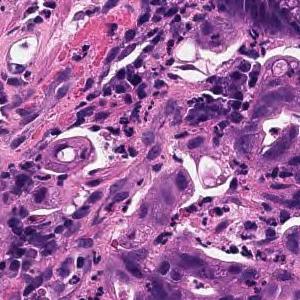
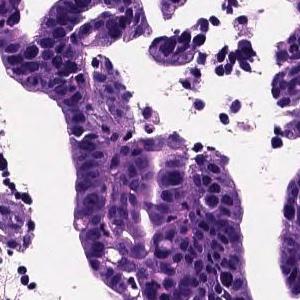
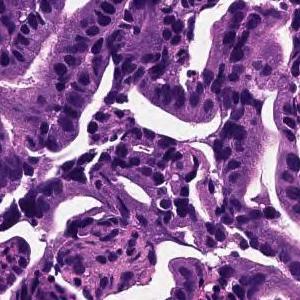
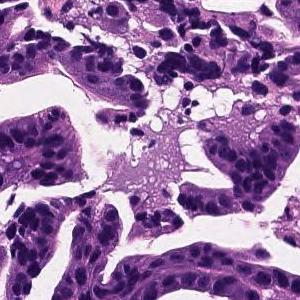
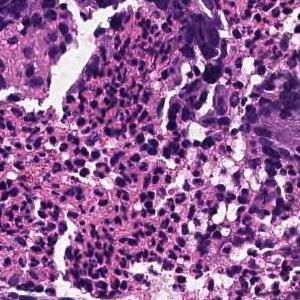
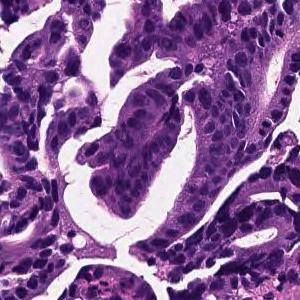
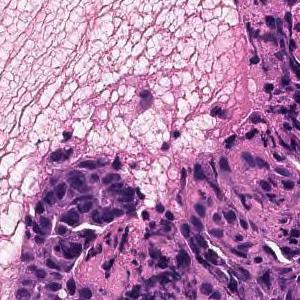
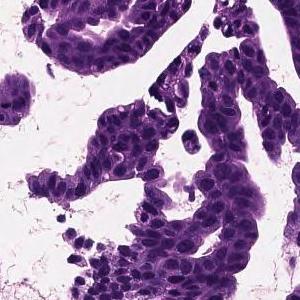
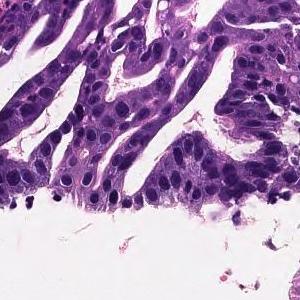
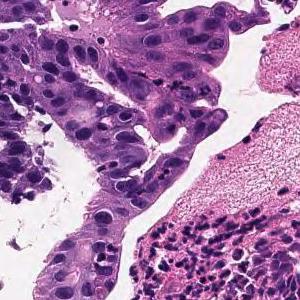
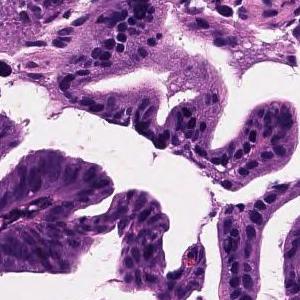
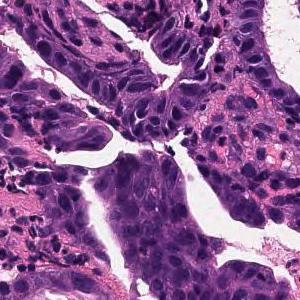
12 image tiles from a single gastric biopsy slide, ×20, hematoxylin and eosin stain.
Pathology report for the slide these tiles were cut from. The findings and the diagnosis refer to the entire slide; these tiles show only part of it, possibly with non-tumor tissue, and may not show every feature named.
Tumor cells are large, highly columnar, large club-shaped nuclei, and are associated with chromatin aggregation. Papillary adenocarcinoma.
